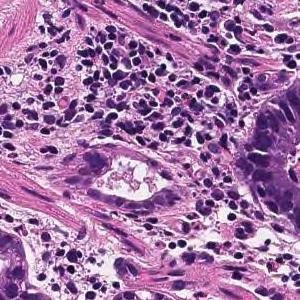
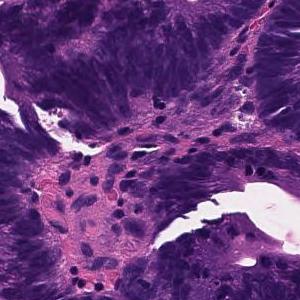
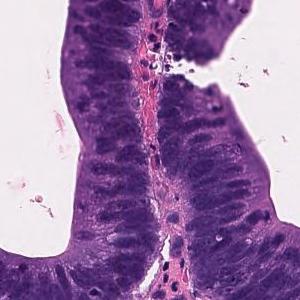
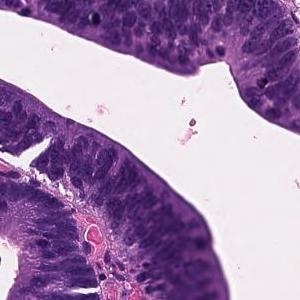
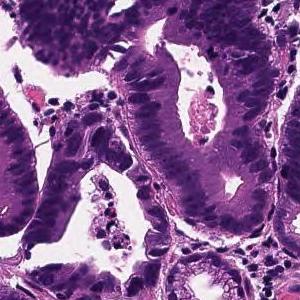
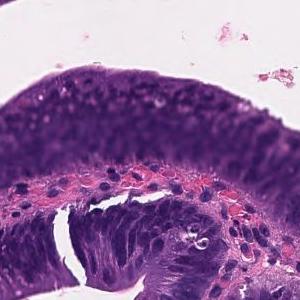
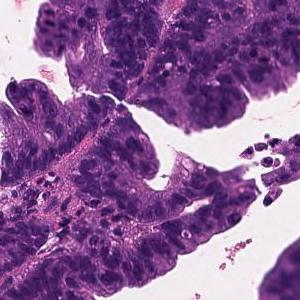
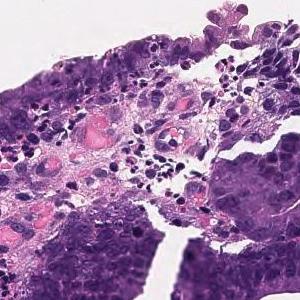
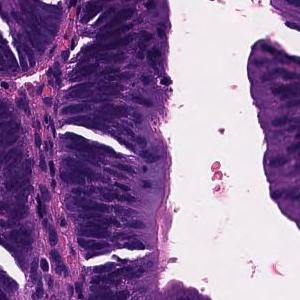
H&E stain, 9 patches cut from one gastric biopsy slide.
Diagnostic report for the slide these tiles come from. The findings and the diagnosis refer to the entire slide; these tiles show only part of it, possibly with non-tumor tissue, and may not show every feature named.
Tumor tissue consisting of large papillary structures is found in the superficial epithelium. Papillary adenocarcinoma.
